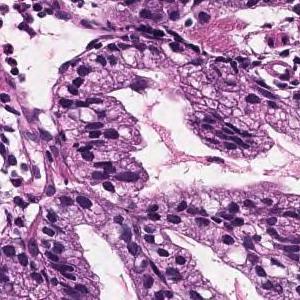
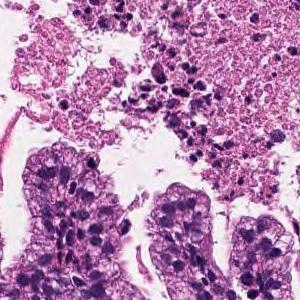
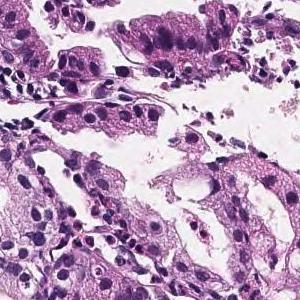
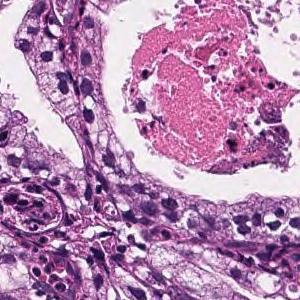
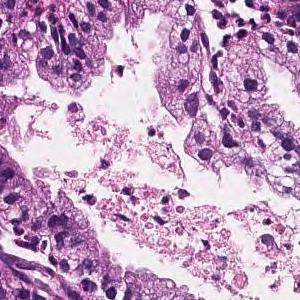
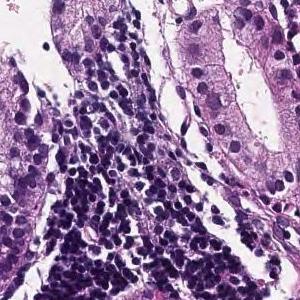
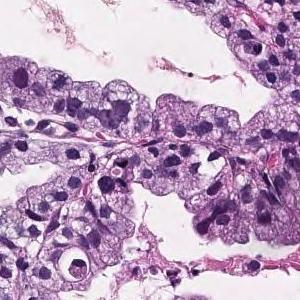
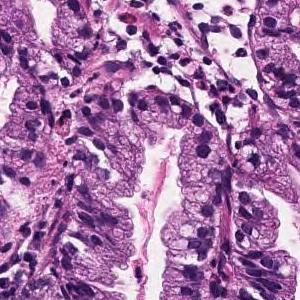
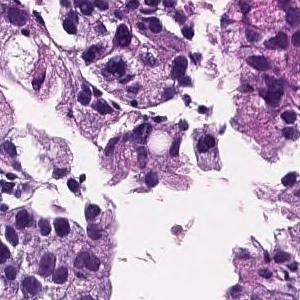
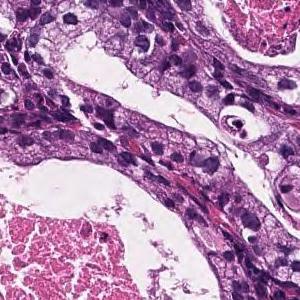
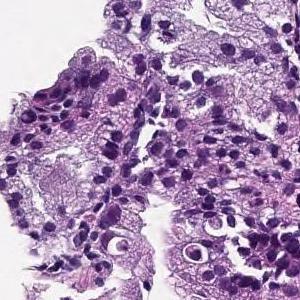
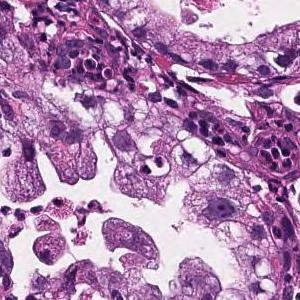
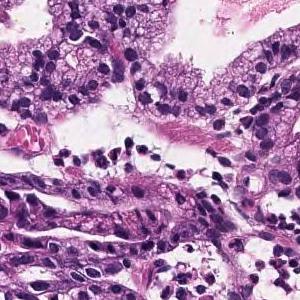
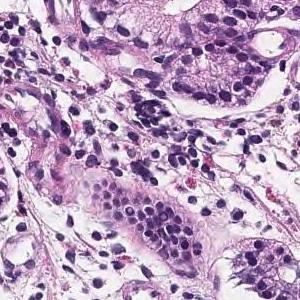
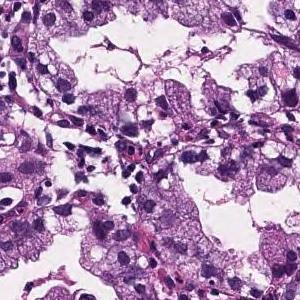
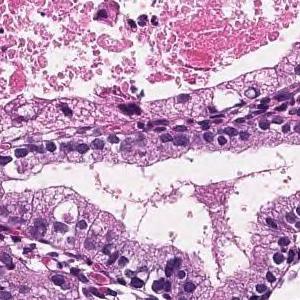
20× magnification, 16 patches cut from one gastric biopsy slide.
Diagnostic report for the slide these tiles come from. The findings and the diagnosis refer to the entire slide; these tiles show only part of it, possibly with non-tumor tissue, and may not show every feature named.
In the superficial epithelium, tumor tissue that infiltrates by forming medium-sized papillary or small irregular ducts is observed. Papillary adenocarcinoma
